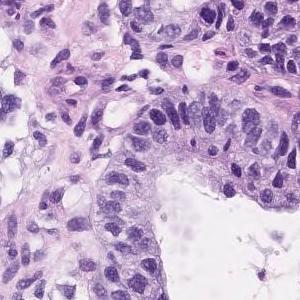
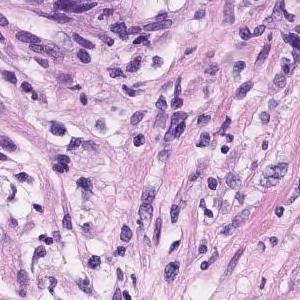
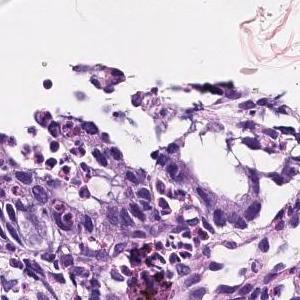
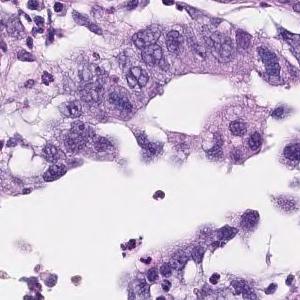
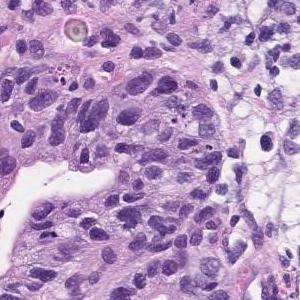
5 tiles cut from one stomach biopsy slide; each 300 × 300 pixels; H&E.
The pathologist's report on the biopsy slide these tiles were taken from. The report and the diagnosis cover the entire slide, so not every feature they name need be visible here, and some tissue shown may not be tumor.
Tumor cells are large, highly columnar, large club-shaped nuclei, and are associated with chromatin aggregation. Papillary adenocarcinoma.
